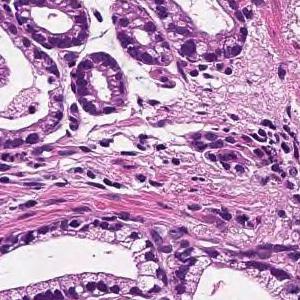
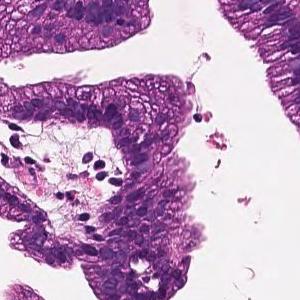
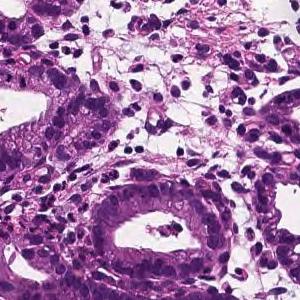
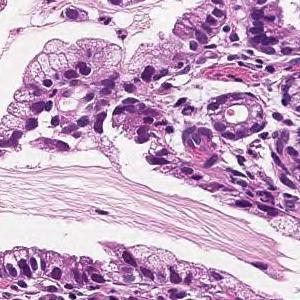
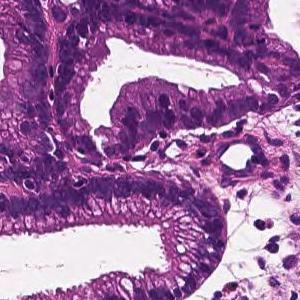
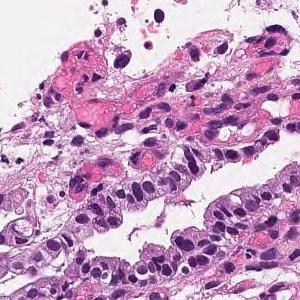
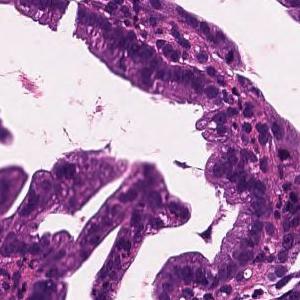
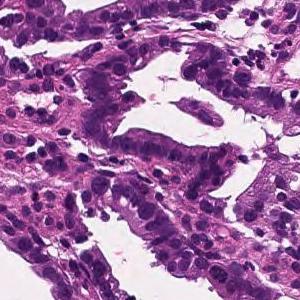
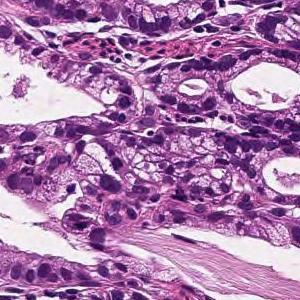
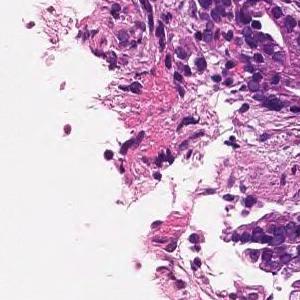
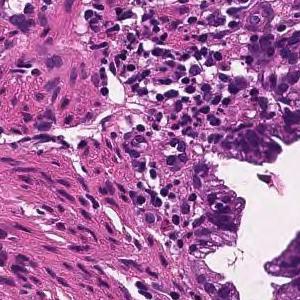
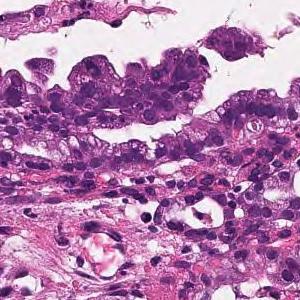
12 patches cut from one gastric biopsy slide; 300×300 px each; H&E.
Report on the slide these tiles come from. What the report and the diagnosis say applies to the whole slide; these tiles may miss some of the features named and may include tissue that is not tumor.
On the superficial epithelium, tumor tissue that infiltrates by forming medium-sized papillary or small irregular ducts is observed. Papillary adenocarcinoma
